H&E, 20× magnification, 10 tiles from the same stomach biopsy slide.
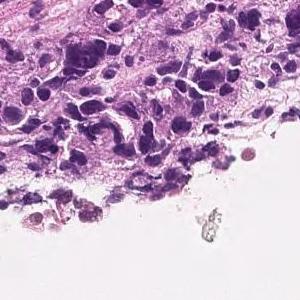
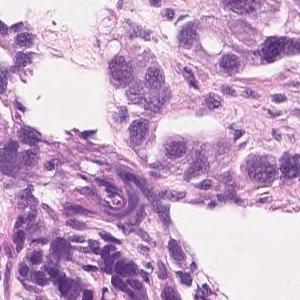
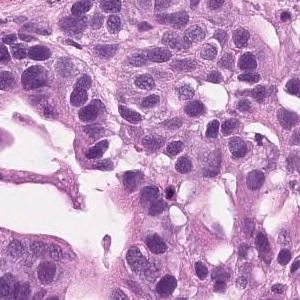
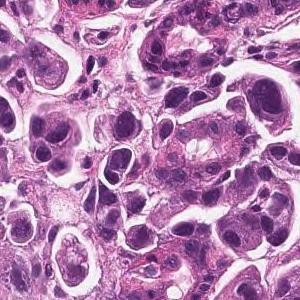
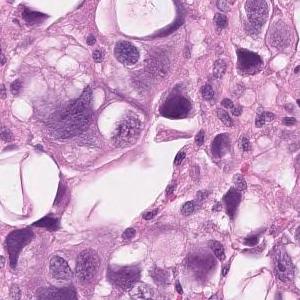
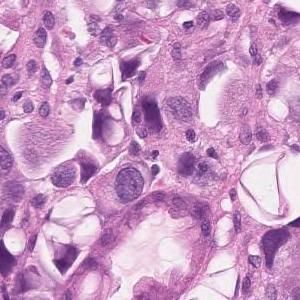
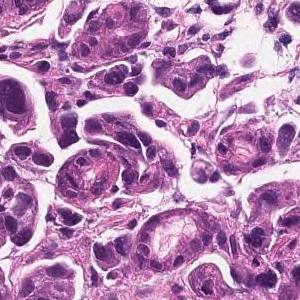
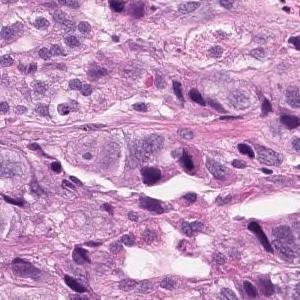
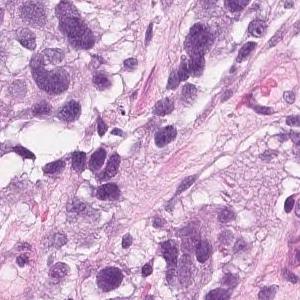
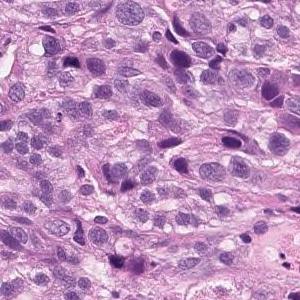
Report on the slide these tiles come from. What the report and the diagnosis say applies to the whole slide; these tiles may miss some of the features named and may include tissue that is not tumor.
Tumor tissue that infiltrates the epithelium in an alveolar manner. Poorly differentiated adenocarcinoma, solid-type
Subtype: Poorly differentiated adenocarcinoma, solid type, a category of the Japanese Classification of Gastric Carcinoma; in the WHO 2019 classification it is tubular adenocarcinoma, poorly differentiated.
